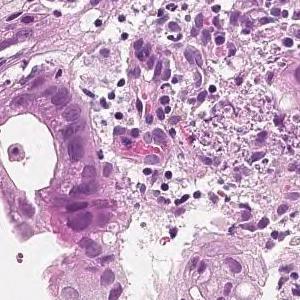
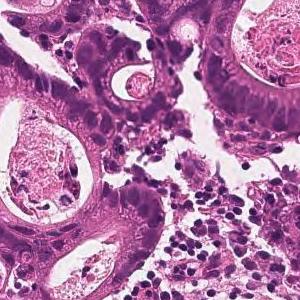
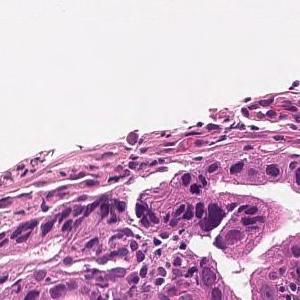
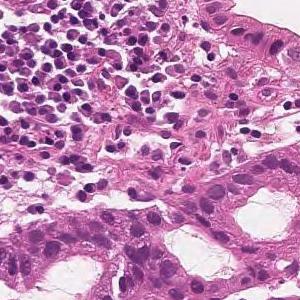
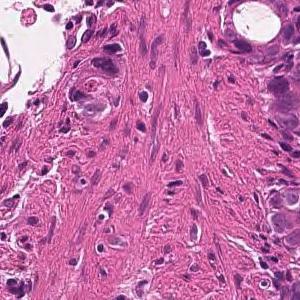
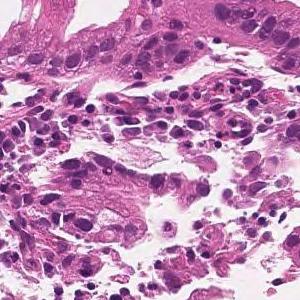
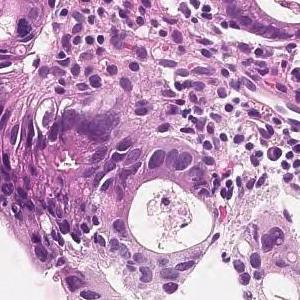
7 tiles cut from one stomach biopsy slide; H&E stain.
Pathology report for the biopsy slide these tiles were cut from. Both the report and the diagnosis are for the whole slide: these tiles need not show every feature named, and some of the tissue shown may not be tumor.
On the superficial epithelium, tumor tissue is found in which medium-sized irregular gland ducts fuse with each other and infiltrate. moderately differentiated tubular adenocarcinoma
